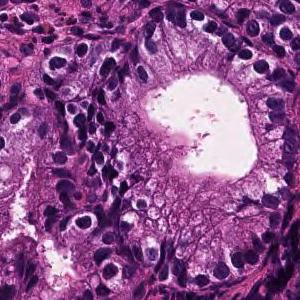
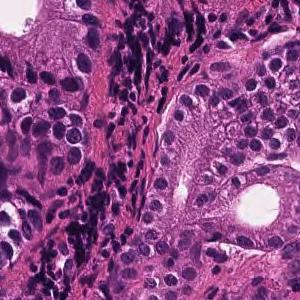
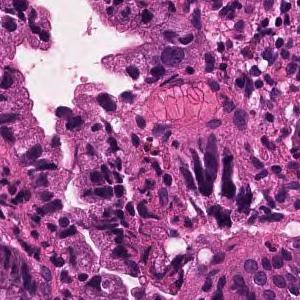
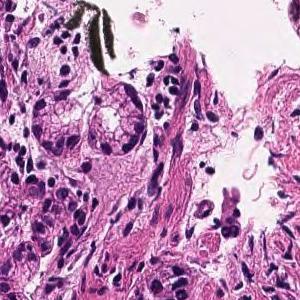
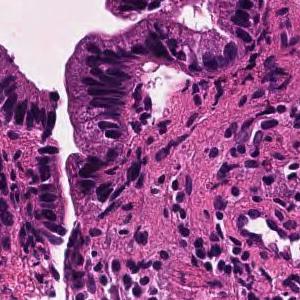
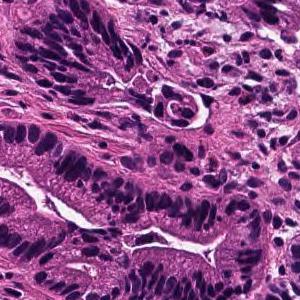
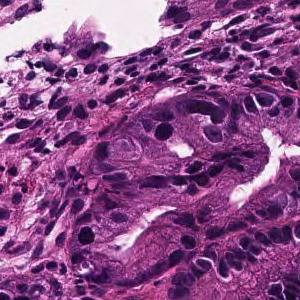
7 tiles from the same stomach biopsy slide · each 300 × 300 pixels · ×20 · H&E stain.
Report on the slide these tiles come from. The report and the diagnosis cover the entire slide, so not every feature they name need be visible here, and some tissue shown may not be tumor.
In the superficial epithelium, tumor tissue that invades by forming medium-sized to small, irregular ducts is observed. Well differentiated tubular adenocarcinoma.
